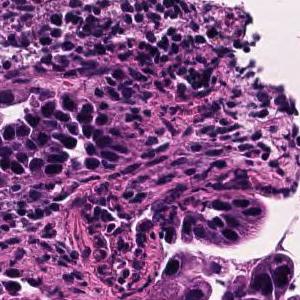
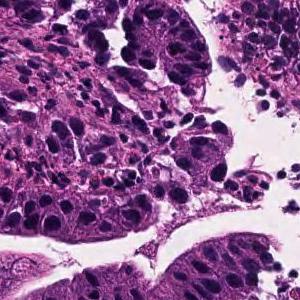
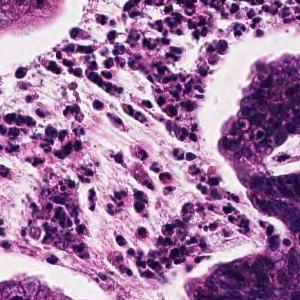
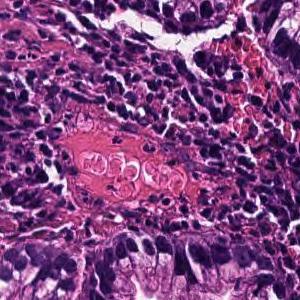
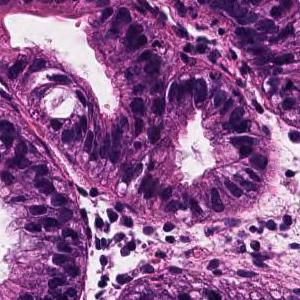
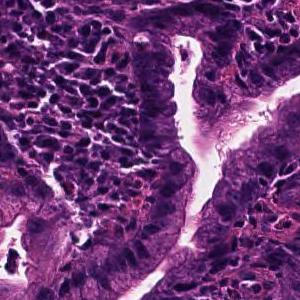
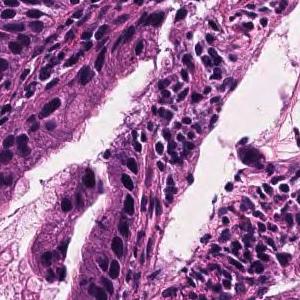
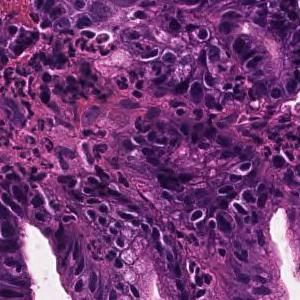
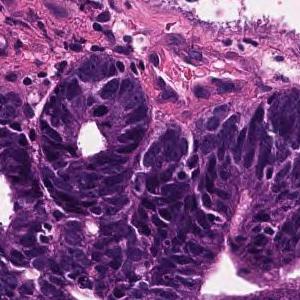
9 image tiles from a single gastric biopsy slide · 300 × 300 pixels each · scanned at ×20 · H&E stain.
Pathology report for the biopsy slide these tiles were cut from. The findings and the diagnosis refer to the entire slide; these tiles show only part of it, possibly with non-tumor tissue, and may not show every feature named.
Tumor cells are large, highly columnar, large club-shaped nuclei, and are associated with chromatin aggregation. Papillary adenocarcinoma.
